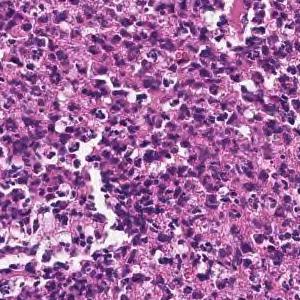
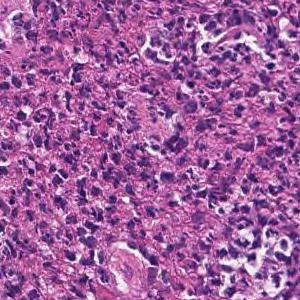
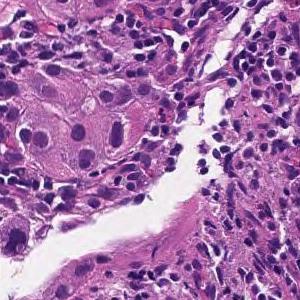
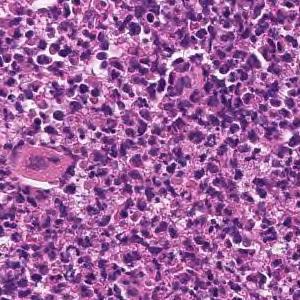
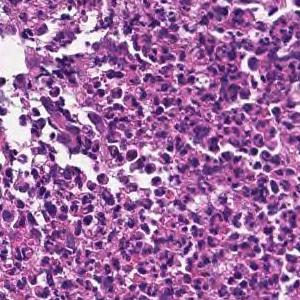
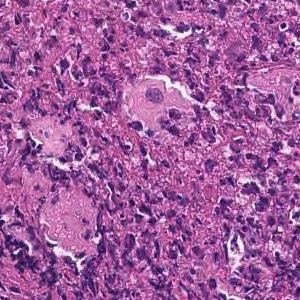
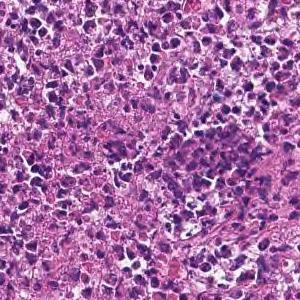
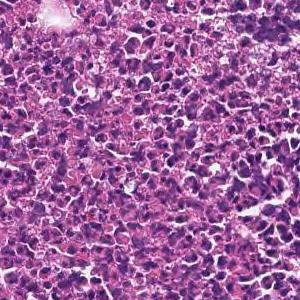
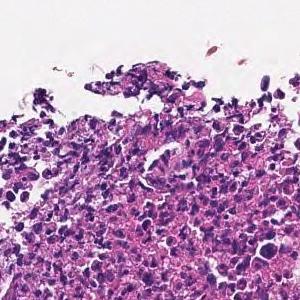
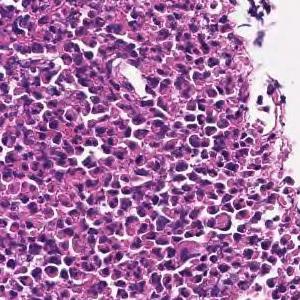
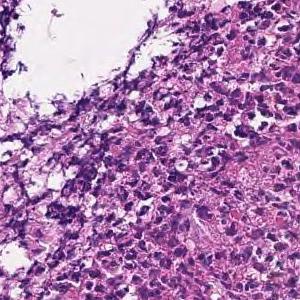
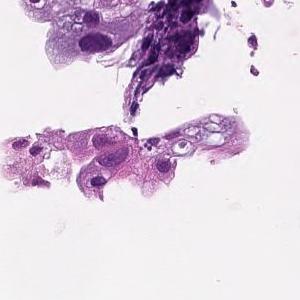
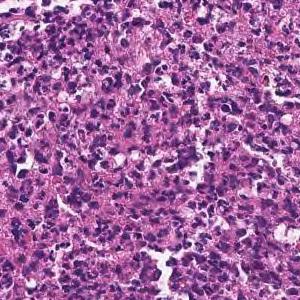
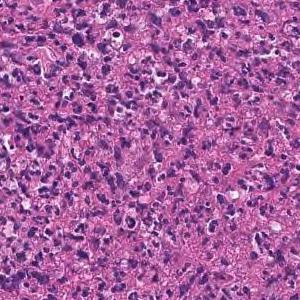
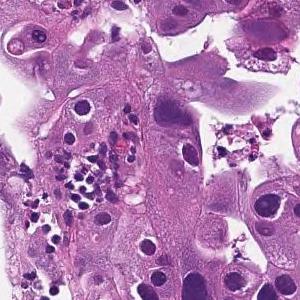
15 tiles cut from one stomach biopsy slide, 300×300 px each, H&E.
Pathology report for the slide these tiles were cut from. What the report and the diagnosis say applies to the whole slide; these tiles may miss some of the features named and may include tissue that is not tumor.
In the superficial epithelium, tumor tissue infiltrated by partial fusion of medium-sized to small, irregular glandular ducts is observed. moderately differentiated tubular adenocarcinoma
